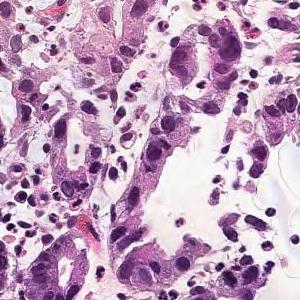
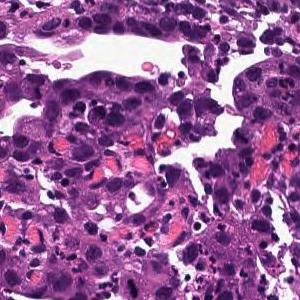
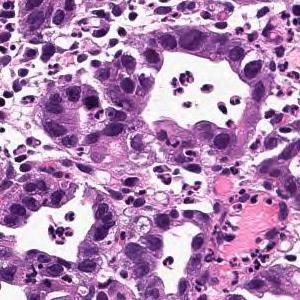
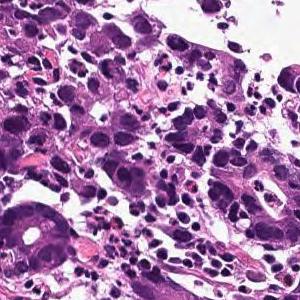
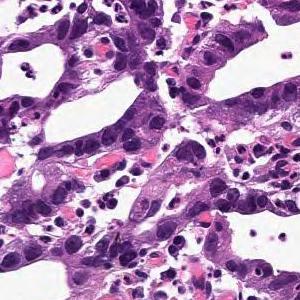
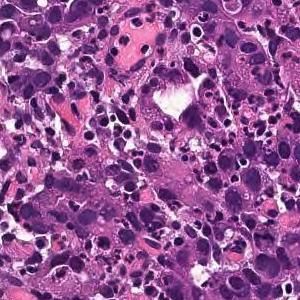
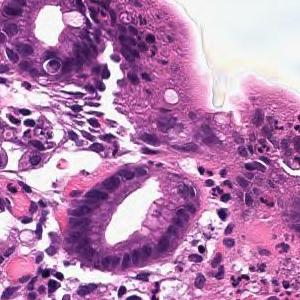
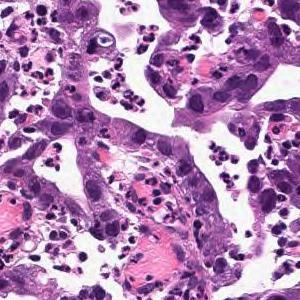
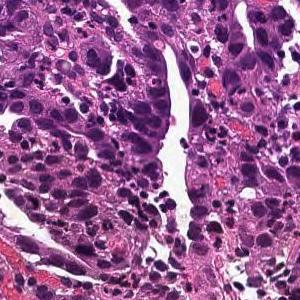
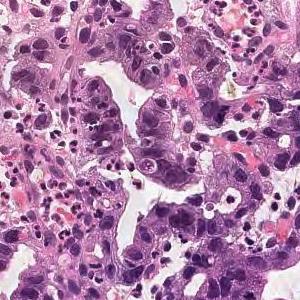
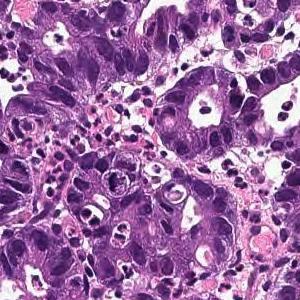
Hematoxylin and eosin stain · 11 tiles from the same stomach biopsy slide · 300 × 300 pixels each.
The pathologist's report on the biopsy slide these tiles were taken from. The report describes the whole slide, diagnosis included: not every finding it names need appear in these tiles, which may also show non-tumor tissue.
On the superficial epithelium, a tumor tissue consisting of a large, irregular glandular duct partially fused and infiltrating with a small alveolar shape is observed. Well or moderately differentiated tubular adenocarcinoma (well differentiated tubular adenocarcinoma, moderately differentiated tubular adenocarcinoma)
Subtype: Well to moderately differentiated tubular adenocarcinoma.
